13 patches cut from one gastric biopsy slide · ×20 · hematoxylin and eosin stain.
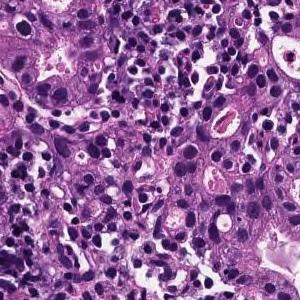
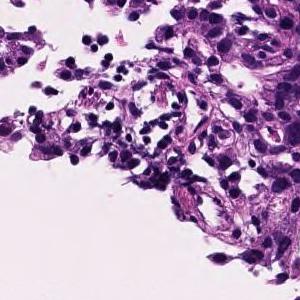
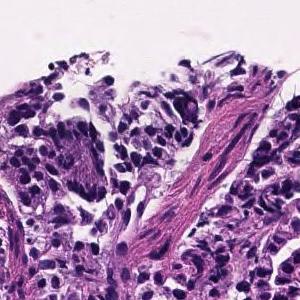
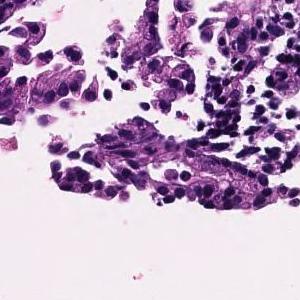
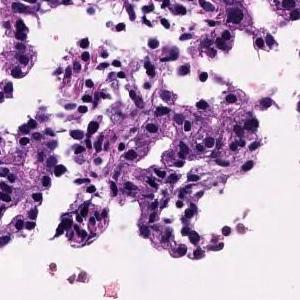
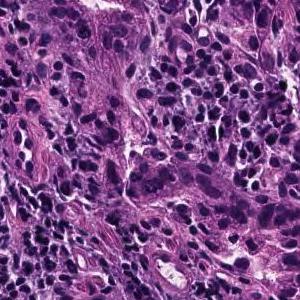
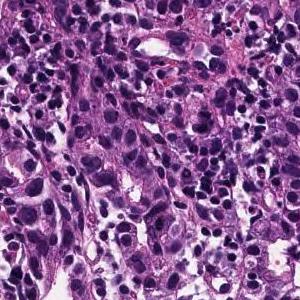
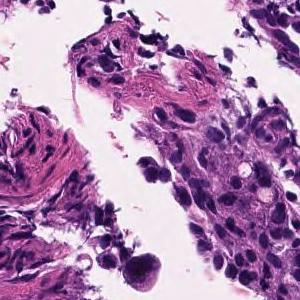
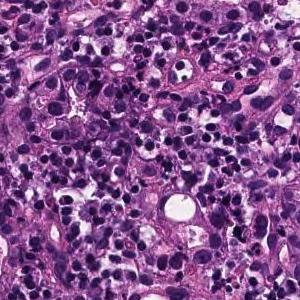
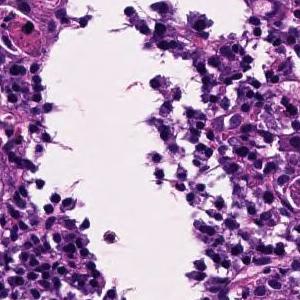
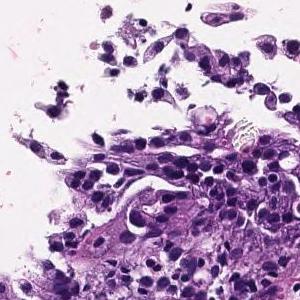
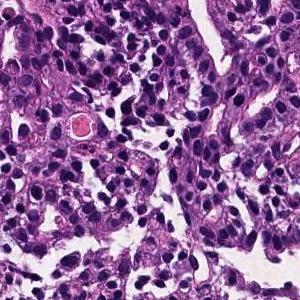
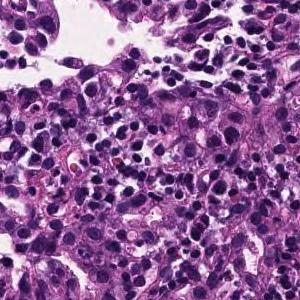
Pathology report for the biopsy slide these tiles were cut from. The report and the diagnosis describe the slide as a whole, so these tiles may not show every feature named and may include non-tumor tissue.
Medium to small, irregular glandular ducts are formed in the superficial epithelium, and in some cases, the glandular ducts are fused to show solid alveolar lesions and infiltrating tumor tissue is observed. Moderately to poorly differentiated adenocarcinoma.
